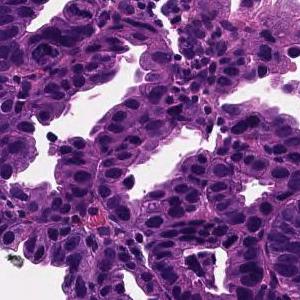
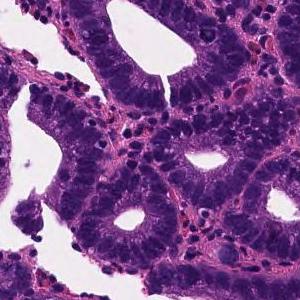
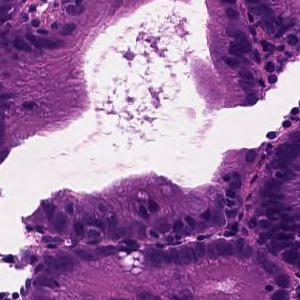
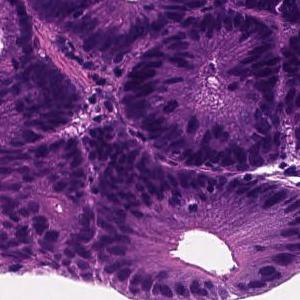
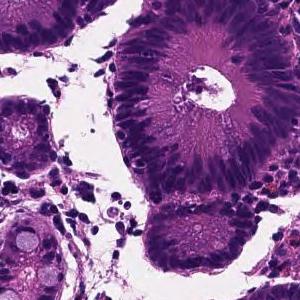
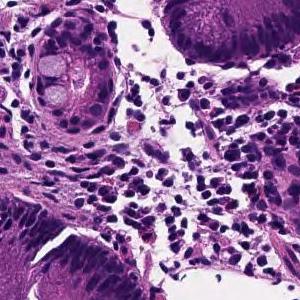
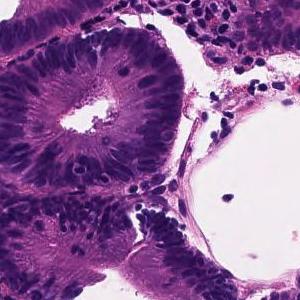
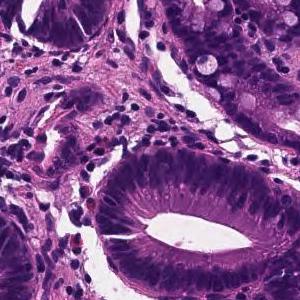
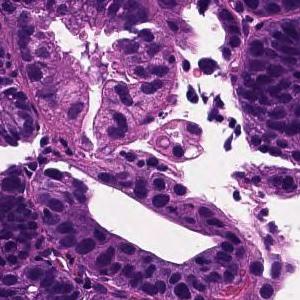
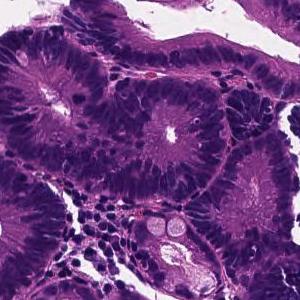
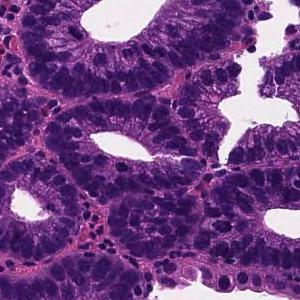
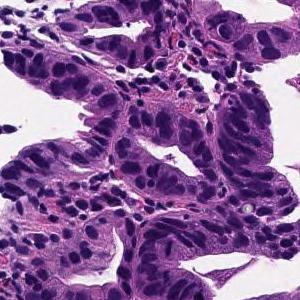
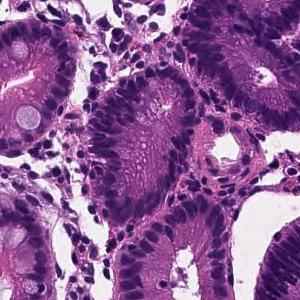
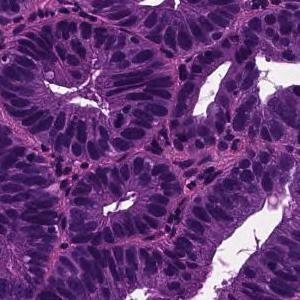
14 tiles cut from one stomach biopsy slide, each 300 × 300 pixels.
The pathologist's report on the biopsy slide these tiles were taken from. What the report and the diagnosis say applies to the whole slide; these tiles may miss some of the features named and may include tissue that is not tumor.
Tumor tissue in which medium to small irregular ducts infiltrate and proliferate in the submucosa can be seen in the epithelium. Well differentiated tubular adenocarcinoma
